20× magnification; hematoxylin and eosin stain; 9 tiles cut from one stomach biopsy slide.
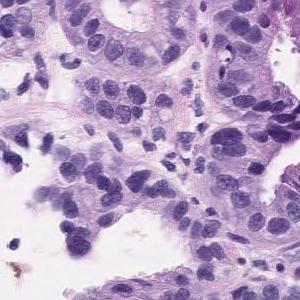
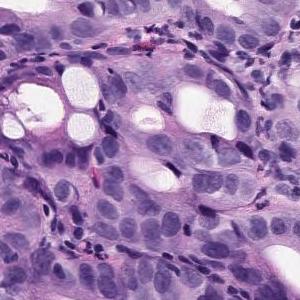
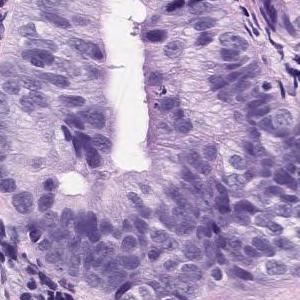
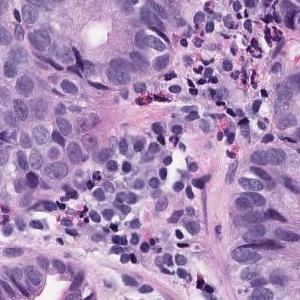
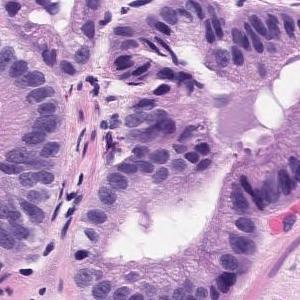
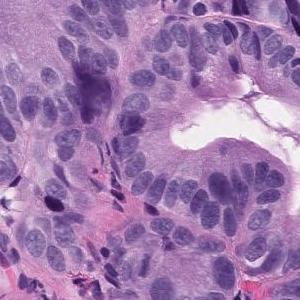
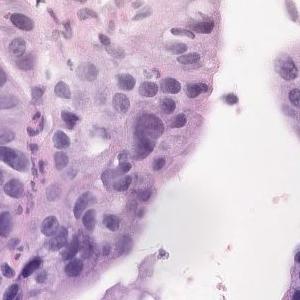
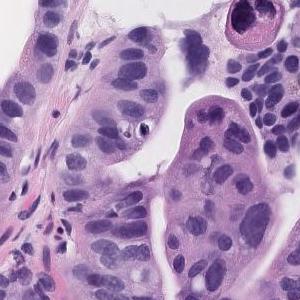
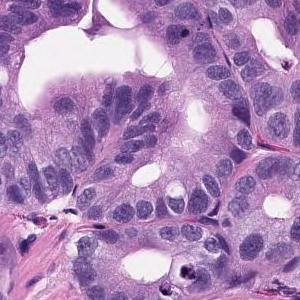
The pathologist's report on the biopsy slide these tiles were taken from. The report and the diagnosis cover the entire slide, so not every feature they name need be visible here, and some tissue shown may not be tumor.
Tumor tissue consisting of medium-sized and irregular ducts is observed infiltrating in the superficial epithelium. Tumor cells are highly columnar, with nuclei aligned basolaterally and polarized. Well differentiated tubular adenocarcinoma.
